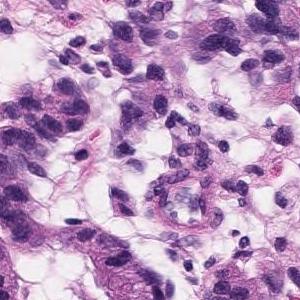
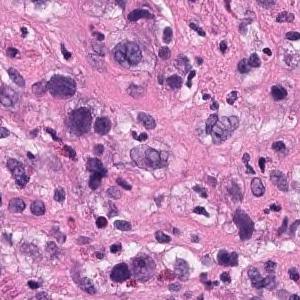
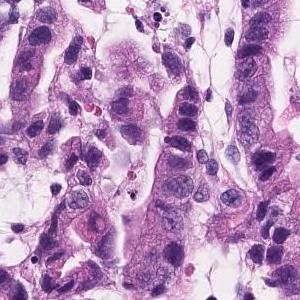
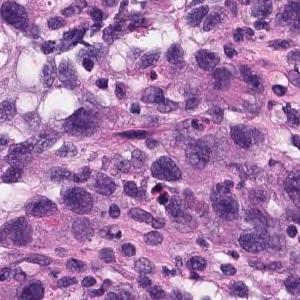
20× magnification; H&E; 4 image tiles from a single gastric biopsy slide; 300×300 px each.
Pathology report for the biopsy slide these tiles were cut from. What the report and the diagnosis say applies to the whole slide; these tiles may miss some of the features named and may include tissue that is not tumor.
Atypical l cells with atypical nuclei forming diffuse or small irregular atypical ducts and growing. Moderately to poorly differentiated adenocarcinoma (poorly differentiated adenocarcinoma, solid type, moderately differentiated tubular adenocarcinoma)
Histological subtype: Moderately to poorly differentiated adenocarcinoma.
The term "solid type" comes from the Japanese Classification of Gastric Carcinoma; the WHO 2019 equivalent is tubular adenocarcinoma, poorly differentiated.
